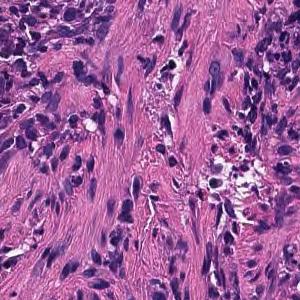
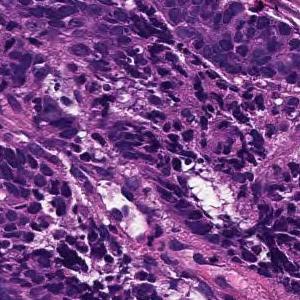
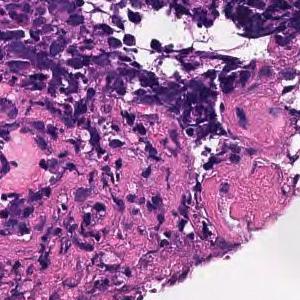
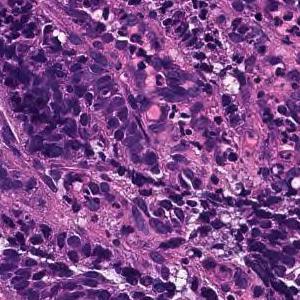
4 image tiles from a single gastric biopsy slide, H&E.
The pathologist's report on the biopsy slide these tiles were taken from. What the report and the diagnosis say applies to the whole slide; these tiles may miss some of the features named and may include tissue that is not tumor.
Large sheet-like or diffusely infiltrating tumor tissue is found in the superficial epithelium. Poorly differentiated adenocarcinoma, solid-type
Histological subtype: Poorly differentiated adenocarcinoma, solid type. This name comes from the Japanese Classification of Gastric Carcinoma; the WHO 2019 classification calls it tubular adenocarcinoma, poorly differentiated.
